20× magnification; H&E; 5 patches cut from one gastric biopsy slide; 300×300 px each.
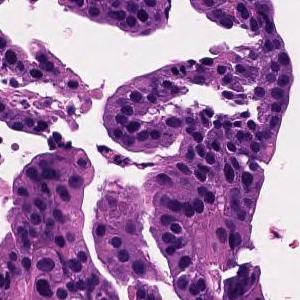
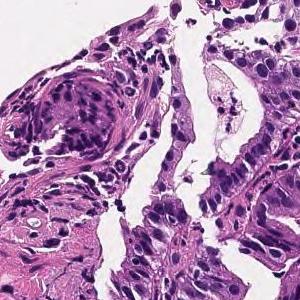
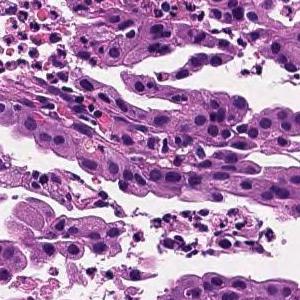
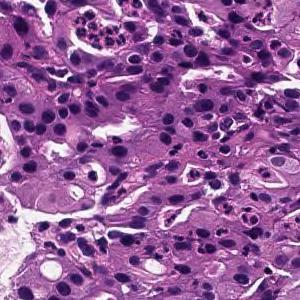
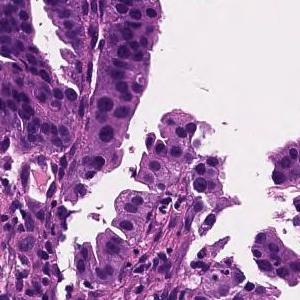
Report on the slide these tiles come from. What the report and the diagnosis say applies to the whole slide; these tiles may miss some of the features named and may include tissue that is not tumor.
On the superficial epithelium, tumor tissue consisting of large, irregular glandular ducts partially fused and infiltrated is observed. Well to moderately differentiated tubular adenocarcinoma (well differentiated tubular adenocarcinoma, moderately differentiated tubular adenocarcinoma)
Tumor subtype: well to moderately differentiated tubular adenocarcinoma.
